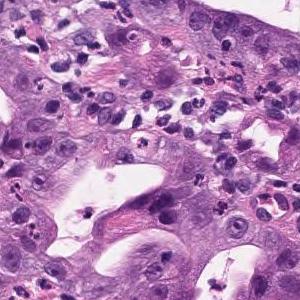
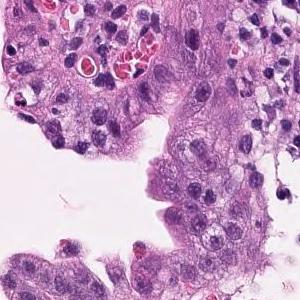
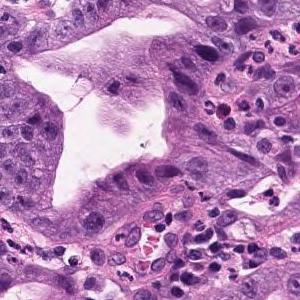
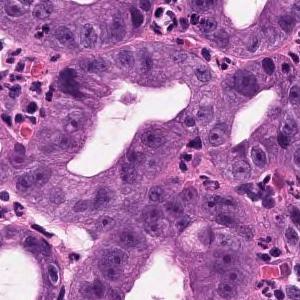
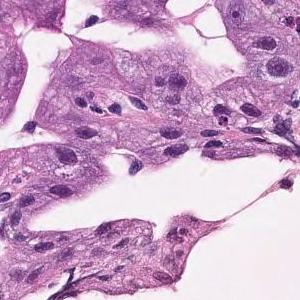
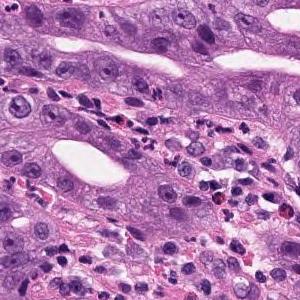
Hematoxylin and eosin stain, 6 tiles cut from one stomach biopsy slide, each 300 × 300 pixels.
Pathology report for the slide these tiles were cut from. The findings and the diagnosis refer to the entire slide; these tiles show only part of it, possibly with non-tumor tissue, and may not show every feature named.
In the superficial epithelium, tumor tissue that invades by forming medium-sized to small, irregular ducts is observed. Well to moderately differentiated adenocarcinoma (well differentiated tubular adenocarcinoma, moderately differentiated tubular adenocarcinoma).
Histological subtype: Well to moderately differentiated tubular adenocarcinoma.
